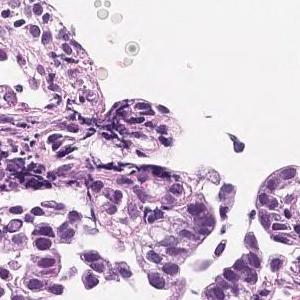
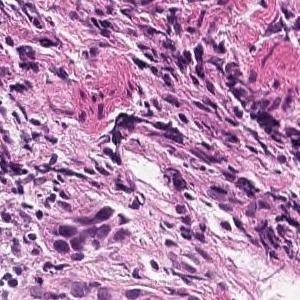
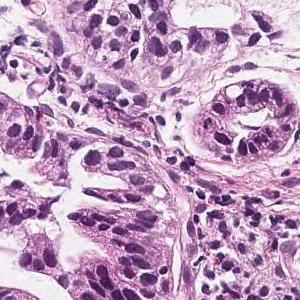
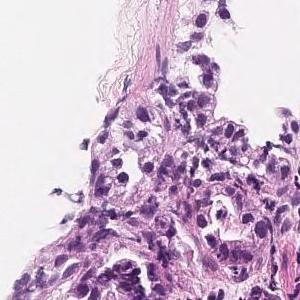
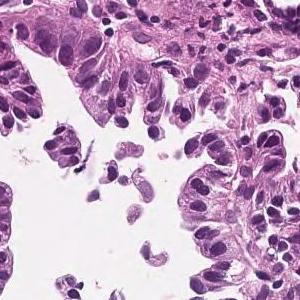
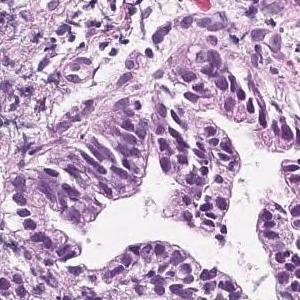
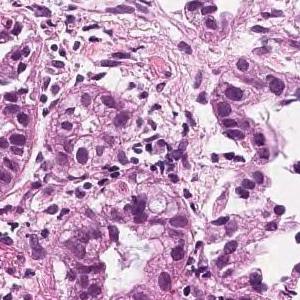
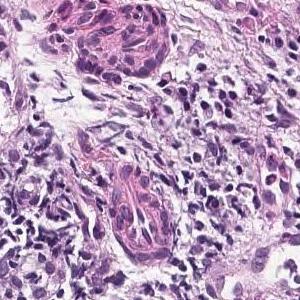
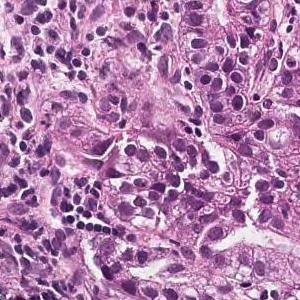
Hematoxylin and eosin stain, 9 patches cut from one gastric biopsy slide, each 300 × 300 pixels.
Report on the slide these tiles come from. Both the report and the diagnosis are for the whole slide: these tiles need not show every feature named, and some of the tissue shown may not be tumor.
In the superficial epithelium, tumor tissue that invades by forming medium-sized to small, irregular ducts is observed. moderately differentiated tubular adenocarcinoma.
